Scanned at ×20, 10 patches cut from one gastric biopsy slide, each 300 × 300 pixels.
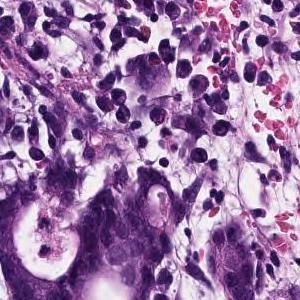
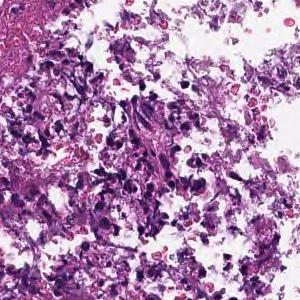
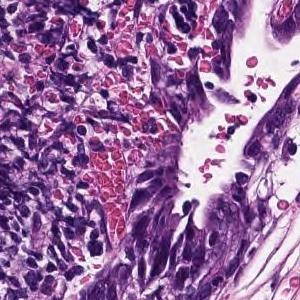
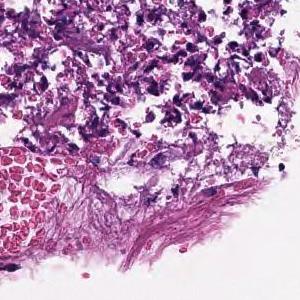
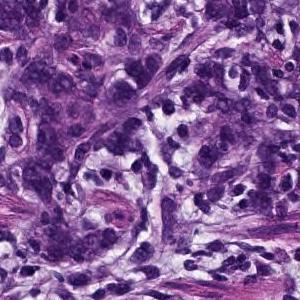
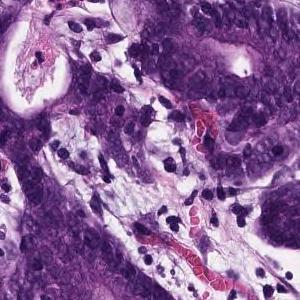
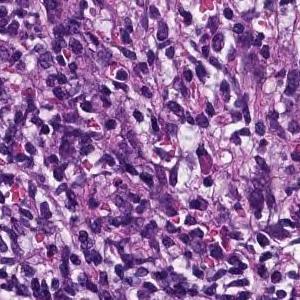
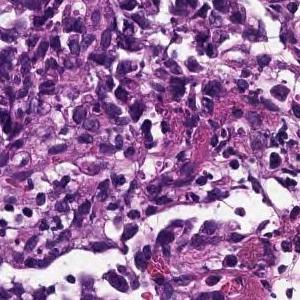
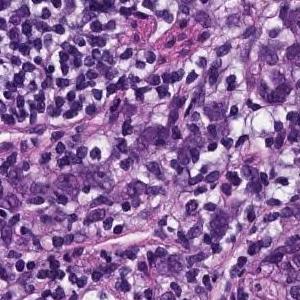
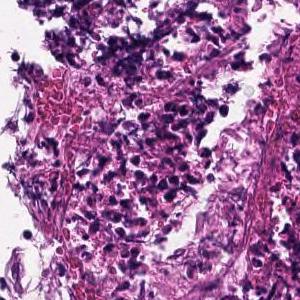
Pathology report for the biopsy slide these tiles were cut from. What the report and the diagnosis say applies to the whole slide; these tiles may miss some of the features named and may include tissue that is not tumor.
Tumor tissue consisting of medium-sized, cord-like or irregular glandular infiltration is observed in the superficial epithelium. Poorly differentiated adenocarcinoma, non-solid type or moderately differentiated tubular adenocarcinoma
Histological subtype: Moderately to poorly differentiated adenocarcinoma.
"Non-solid type" is a category of the Japanese Classification of Gastric Carcinoma.
